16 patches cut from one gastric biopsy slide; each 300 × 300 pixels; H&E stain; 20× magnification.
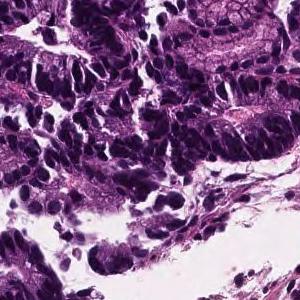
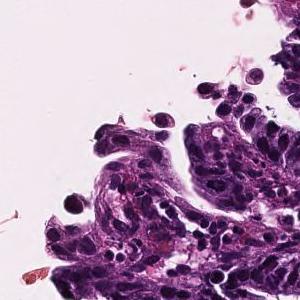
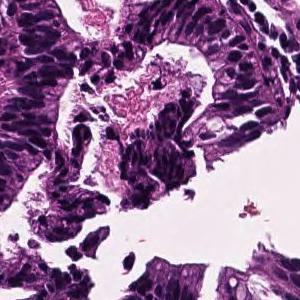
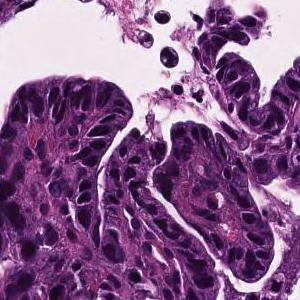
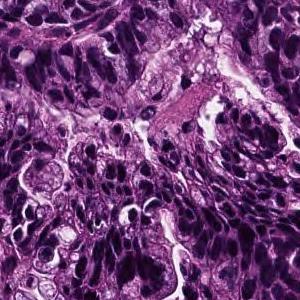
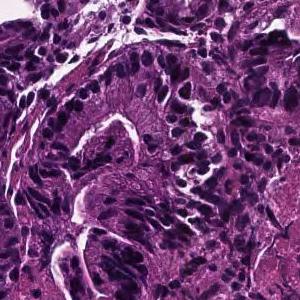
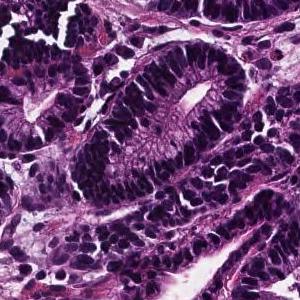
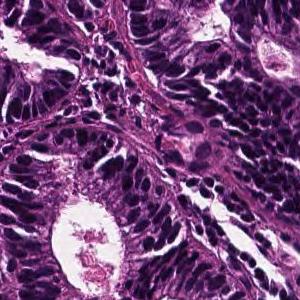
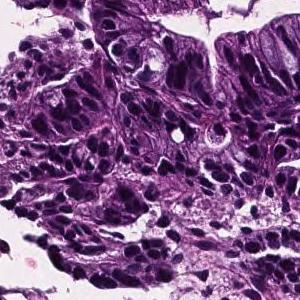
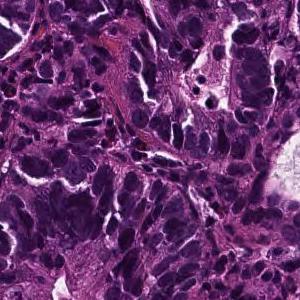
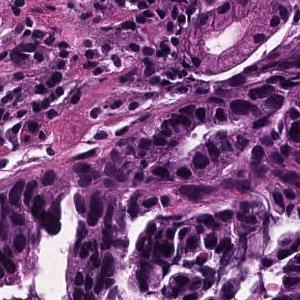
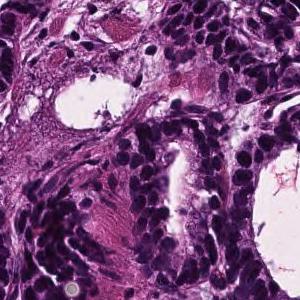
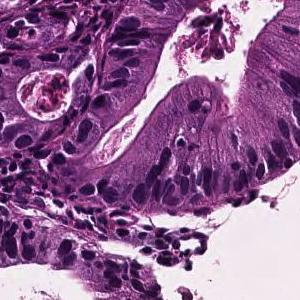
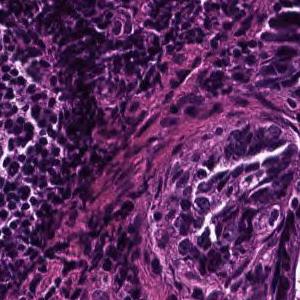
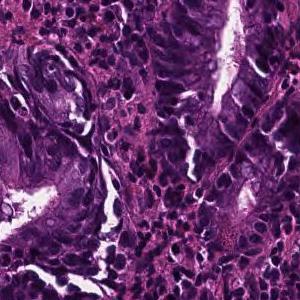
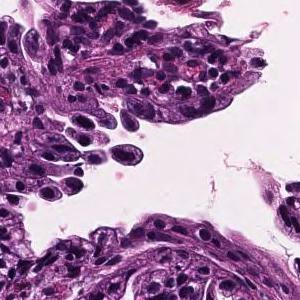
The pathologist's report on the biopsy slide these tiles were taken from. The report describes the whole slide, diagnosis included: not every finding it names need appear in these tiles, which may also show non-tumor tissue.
In the superficial epithelium, tumor tissue that invades by forming medium-sized to small, irregular ducts is observed. Well differentiated tubular adenocarcinoma.
